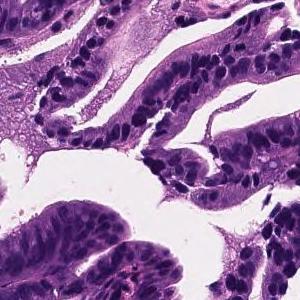
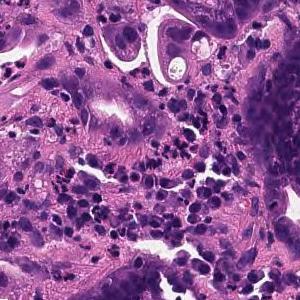
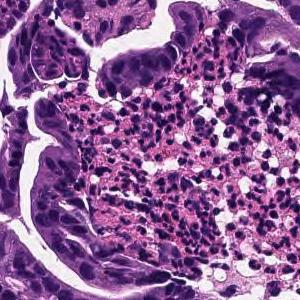
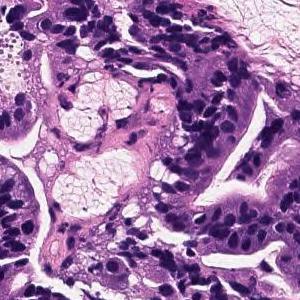
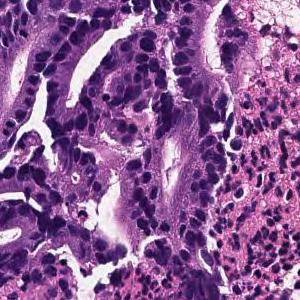
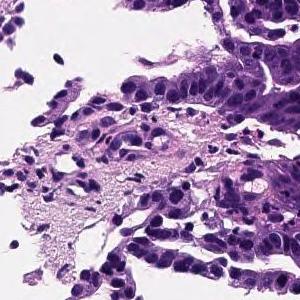
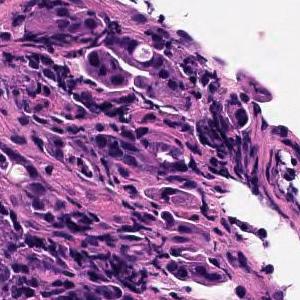
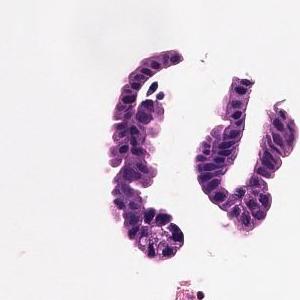
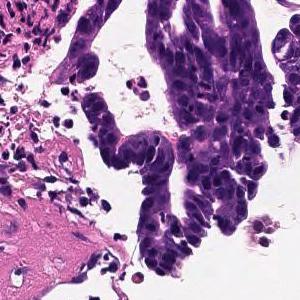
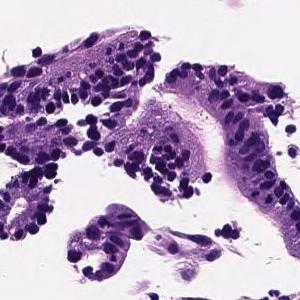
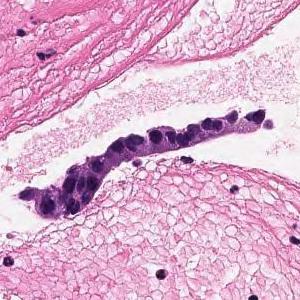
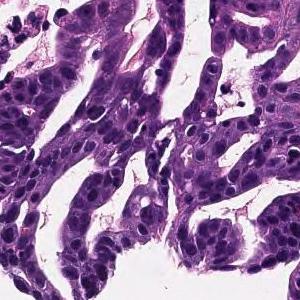
12 tiles from the same stomach biopsy slide; scanned at ×20; H&E stain.
Pathology report for the biopsy slide these tiles were cut from. Both the report and the diagnosis are for the whole slide: these tiles need not show every feature named, and some of the tissue shown may not be tumor.
Tumor cells are large, highly columnar, large club-shaped nuclei, and are associated with chromatin aggregation. Papillary adenocarcinoma.
